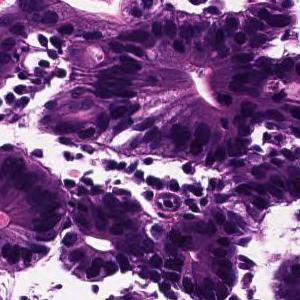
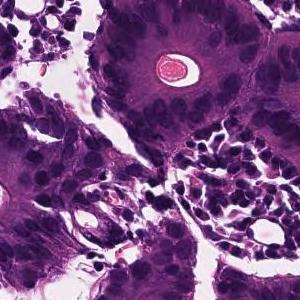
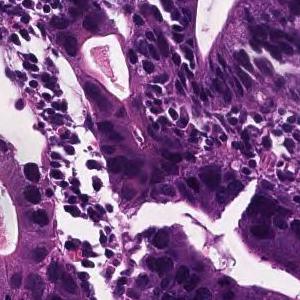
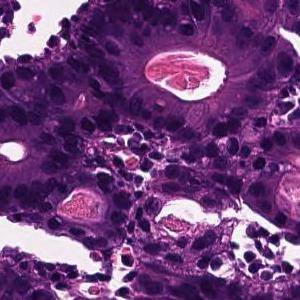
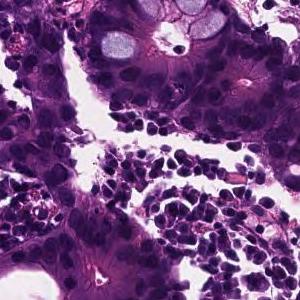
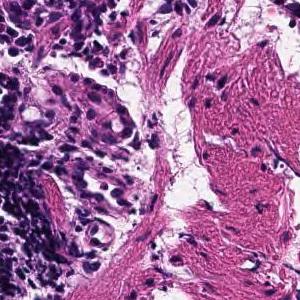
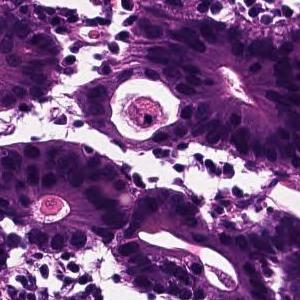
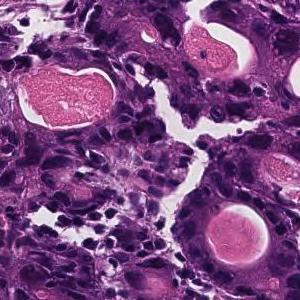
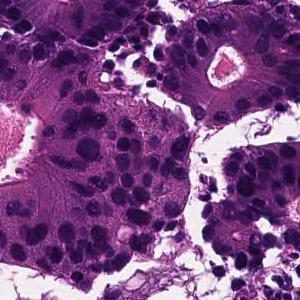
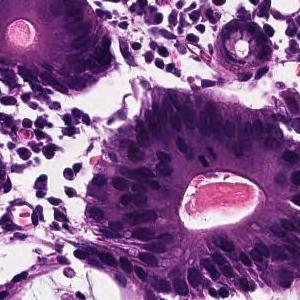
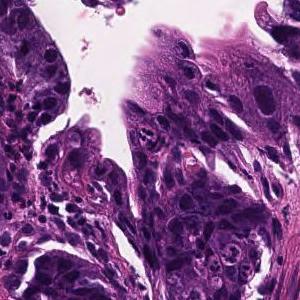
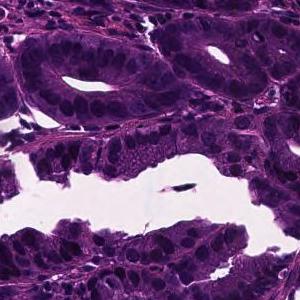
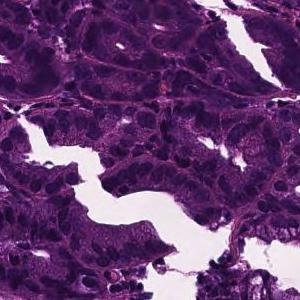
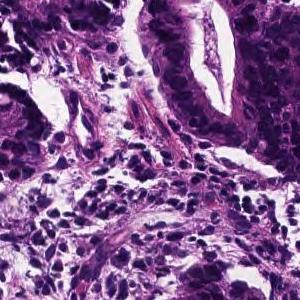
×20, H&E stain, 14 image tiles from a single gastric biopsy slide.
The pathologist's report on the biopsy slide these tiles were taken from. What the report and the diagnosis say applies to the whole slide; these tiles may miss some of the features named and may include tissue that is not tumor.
From the superficial epithelium to the muscularis mucosae, tumor tissue infiltrating by forming medium-sized irregular gland ducts is observed. Large tumor cells exhibit large nucleus and hyperchromatism. Well differentiated tubular adenocarcinoma
